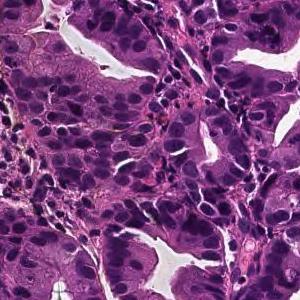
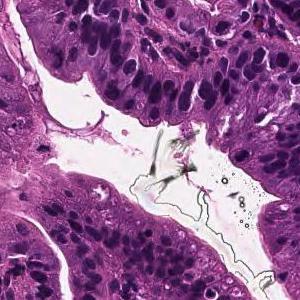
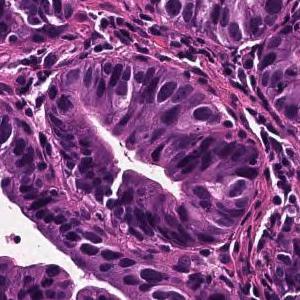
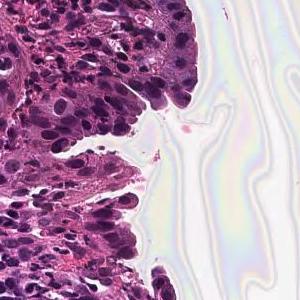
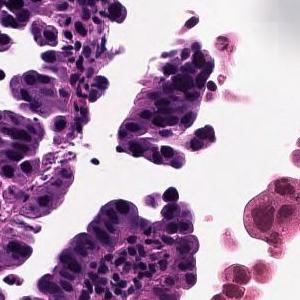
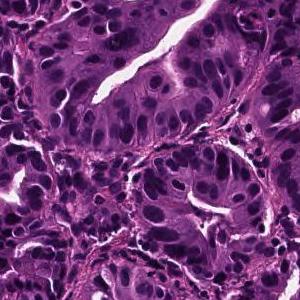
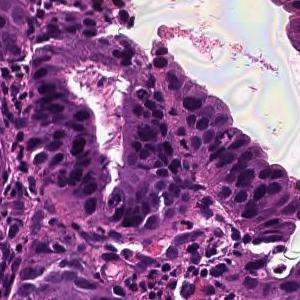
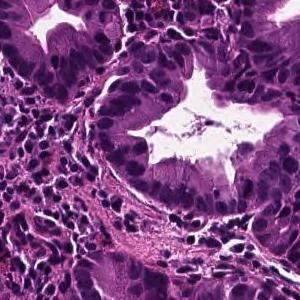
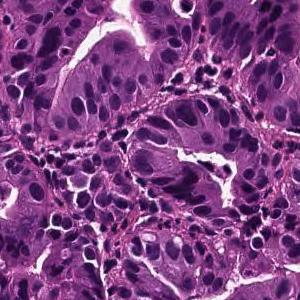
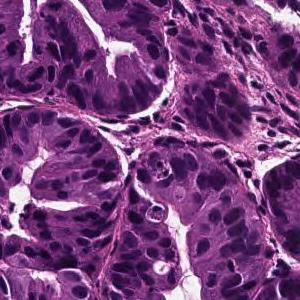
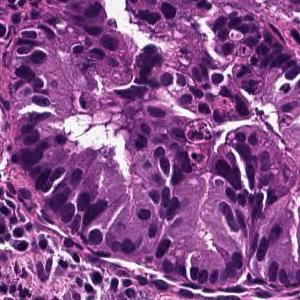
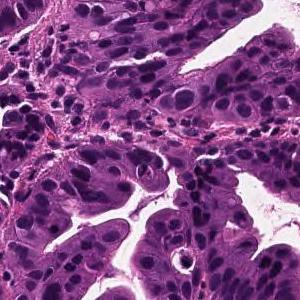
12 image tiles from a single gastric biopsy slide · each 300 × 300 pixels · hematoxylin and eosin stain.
The pathologist's report on the biopsy slide these tiles were taken from. What the report and the diagnosis say applies to the whole slide; these tiles may miss some of the features named and may include tissue that is not tumor.
Tumor cells are large, highly columnar, large club-shaped nuclei, and are associated with chromatin aggregation. Papillary adenocarcinoma.
